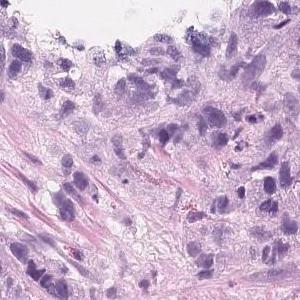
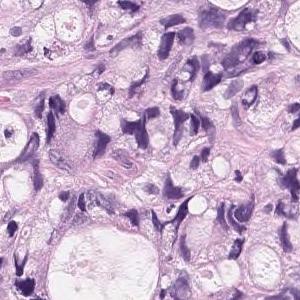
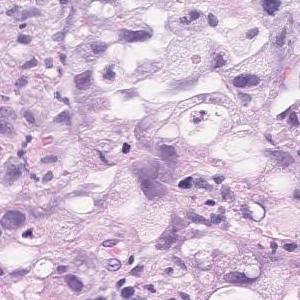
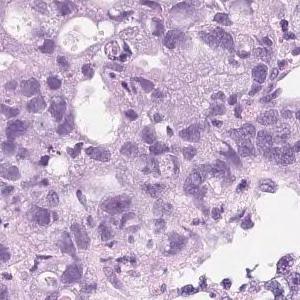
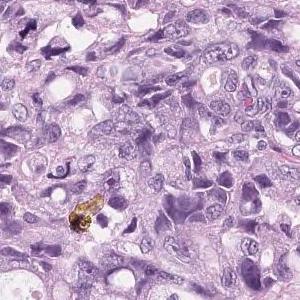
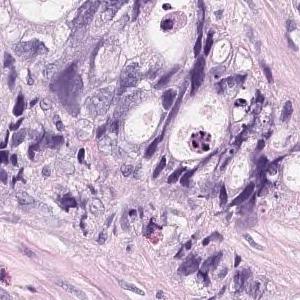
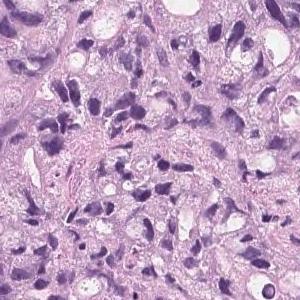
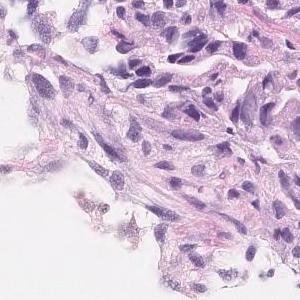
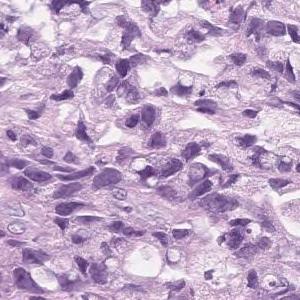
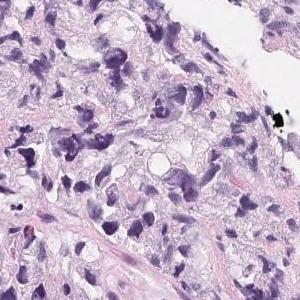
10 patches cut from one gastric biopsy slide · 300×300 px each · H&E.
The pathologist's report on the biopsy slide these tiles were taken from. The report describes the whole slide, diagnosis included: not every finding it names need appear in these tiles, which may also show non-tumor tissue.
Tumor tissue that infiltrates and proliferates by forming small glandular cavities in the superficial layer to the submucosa or forming a mass is observed. moderately differentiated tubular adenocarcinoma
